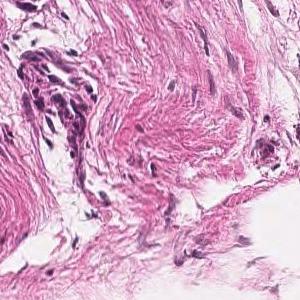
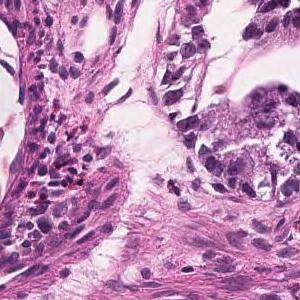
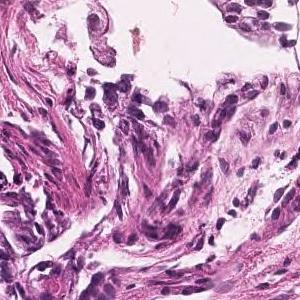
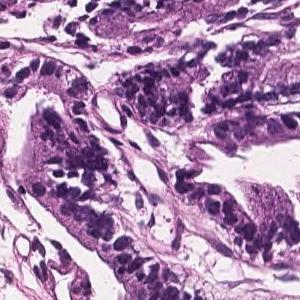
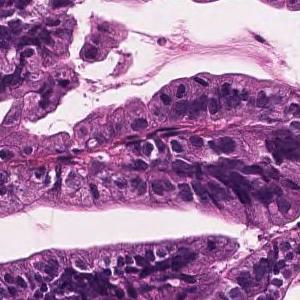
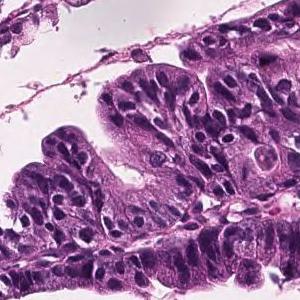
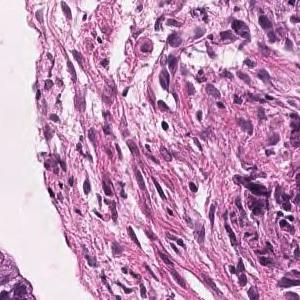
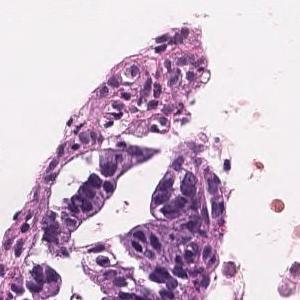
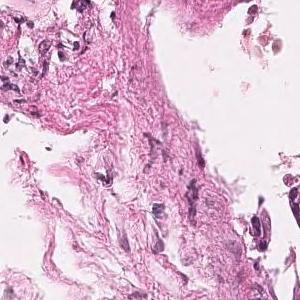
Scanned at ×20 · hematoxylin and eosin stain · 9 tiles from the same stomach biopsy slide · each 300 × 300 pixels.
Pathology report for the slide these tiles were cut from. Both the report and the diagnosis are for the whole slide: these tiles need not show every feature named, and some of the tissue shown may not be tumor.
Tumor cells are large, highly columnar, large club-shaped nuclei, and are associated with chromatin aggregation. Papillary adenocarcinoma.
